20× magnification; 11 image tiles from a single gastric biopsy slide.
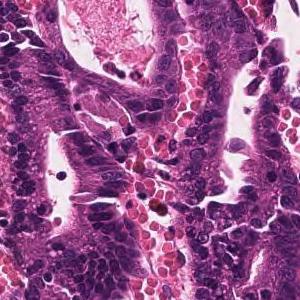
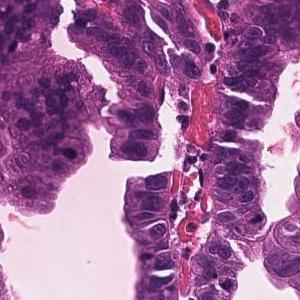
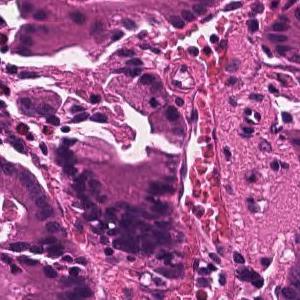
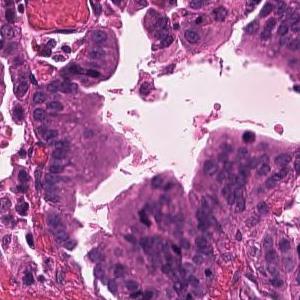
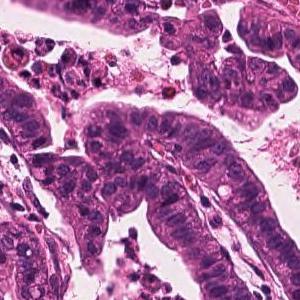
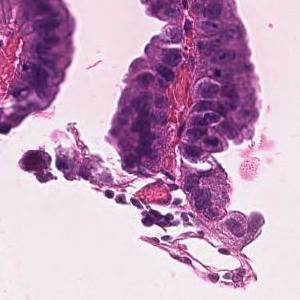
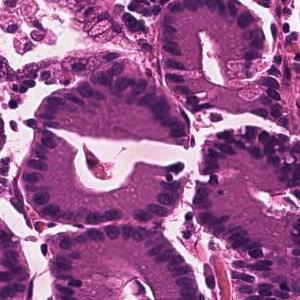
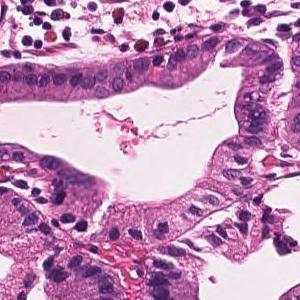
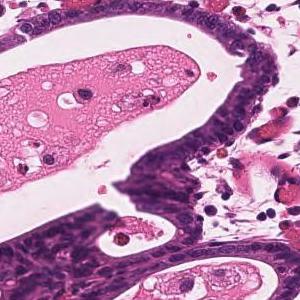
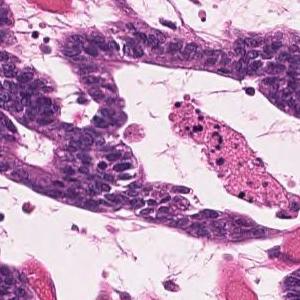
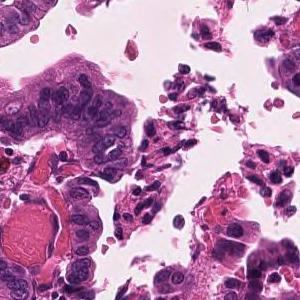
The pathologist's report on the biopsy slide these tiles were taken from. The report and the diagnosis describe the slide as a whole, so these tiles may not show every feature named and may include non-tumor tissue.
Infiltrating tumor tissue with medium-sized, irregular ductal structure or large papillary appearance is observed. Well differentiated tubular adenocarcinoma
